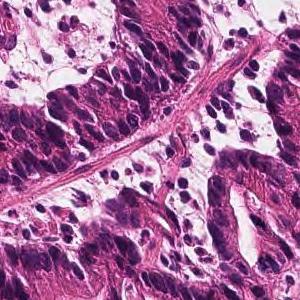
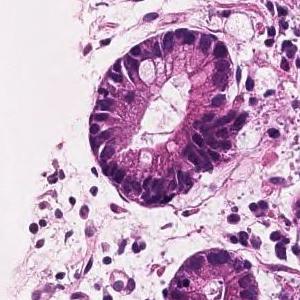
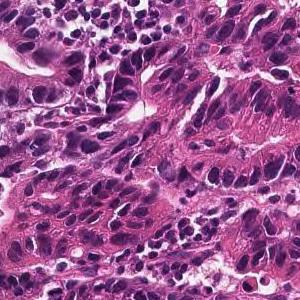
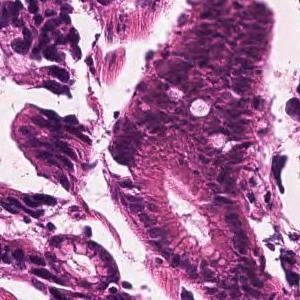
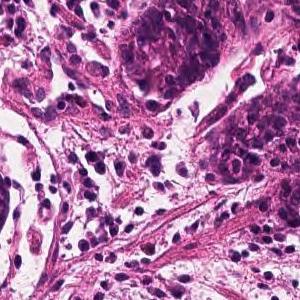
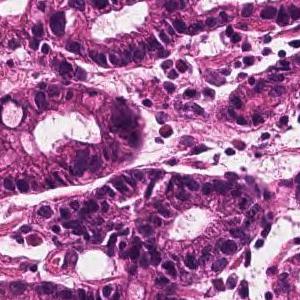
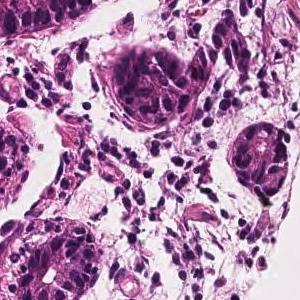
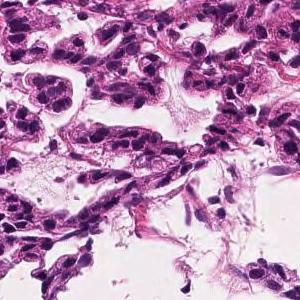
8 patches cut from one gastric biopsy slide; hematoxylin and eosin stain; 20× magnification.
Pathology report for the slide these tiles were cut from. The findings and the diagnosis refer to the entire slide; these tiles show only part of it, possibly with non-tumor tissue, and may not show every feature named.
In the superficial epithelium, tumor tissue that invades by forming medium-sized to small, irregular ducts is observed. moderately differentiated tubular adenocarcinoma.
